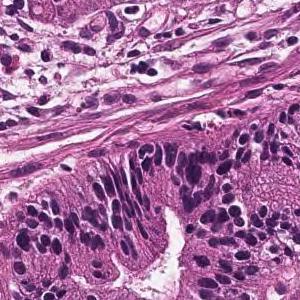
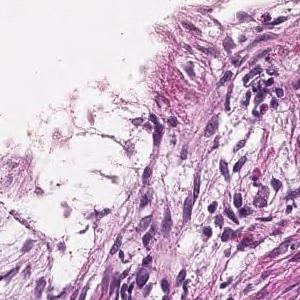
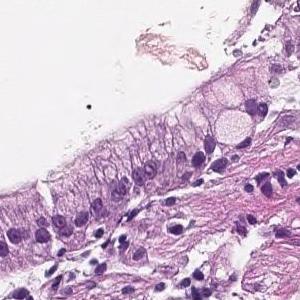
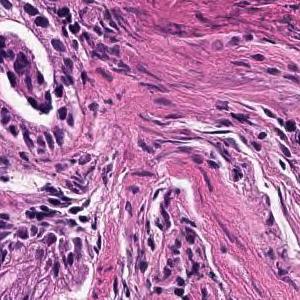
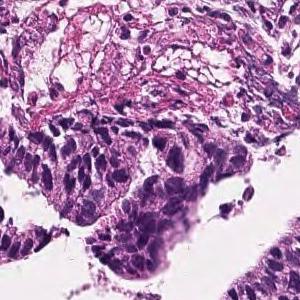
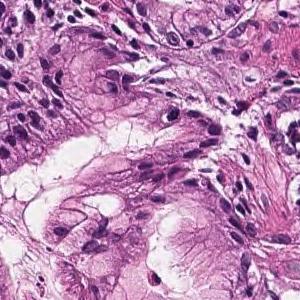
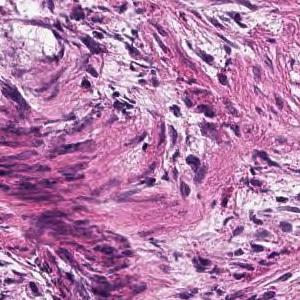
7 tiles from the same stomach biopsy slide · 20× magnification · hematoxylin and eosin stain.
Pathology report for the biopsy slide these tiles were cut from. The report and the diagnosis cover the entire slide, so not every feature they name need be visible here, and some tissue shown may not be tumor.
On the superficial epithelium, tumor tissue consisting of large, irregular glandular ducts partially fused and infiltrated is observed. Well to moderately differentiated tubular adenocarcinoma (well differentiated tubular adenocarcinoma, moderately differentiated tubular adenocarcinoma)
Histologic type: Well to moderately differentiated tubular adenocarcinoma.
